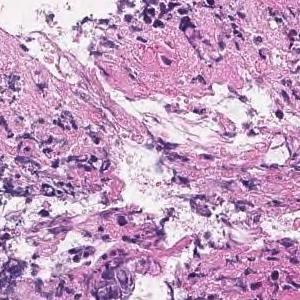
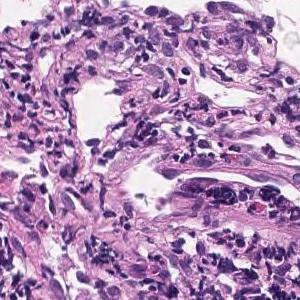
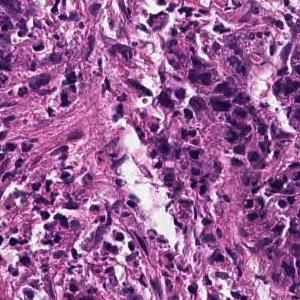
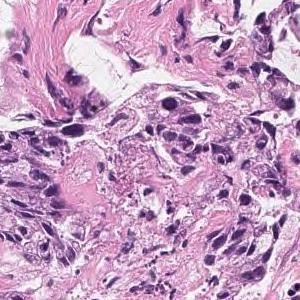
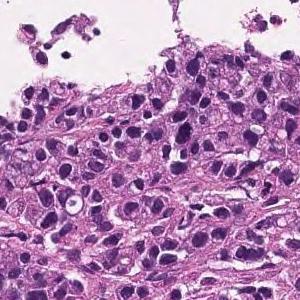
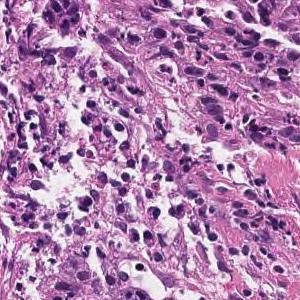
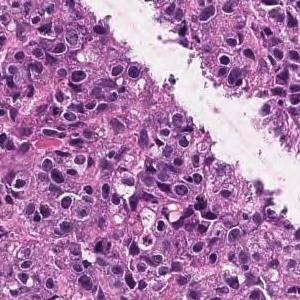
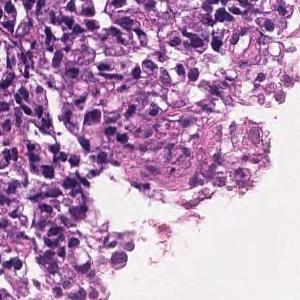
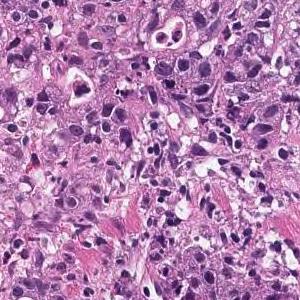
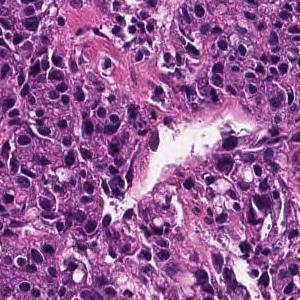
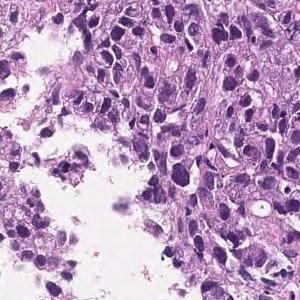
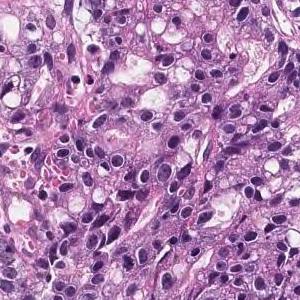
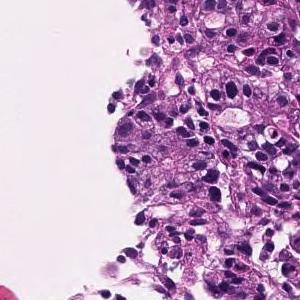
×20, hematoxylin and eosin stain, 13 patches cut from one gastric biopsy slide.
Report on the slide these tiles come from. Both the report and the diagnosis are for the whole slide: these tiles need not show every feature named, and some of the tissue shown may not be tumor.
Medium to small, irregular glandular ducts are formed in the superficial epithelium, and in some cases, the glandular ducts are fused to show solid alveolar lesions and infiltrating tumor tissue is observed. Moderately to poorly differentiated adenocarcinoma.
